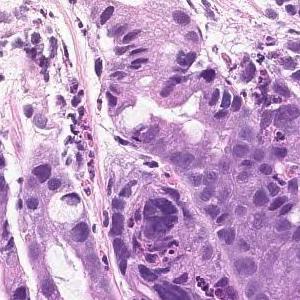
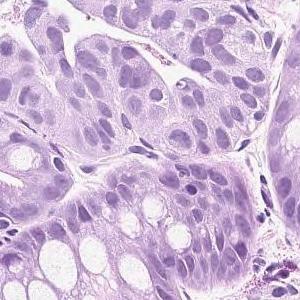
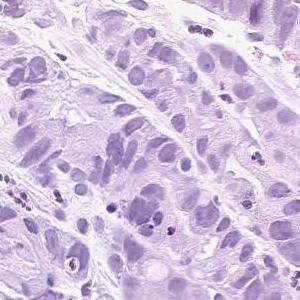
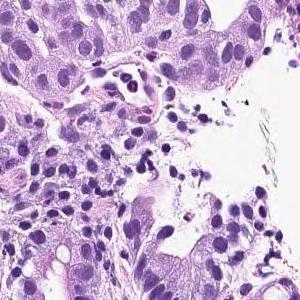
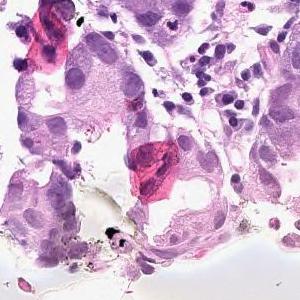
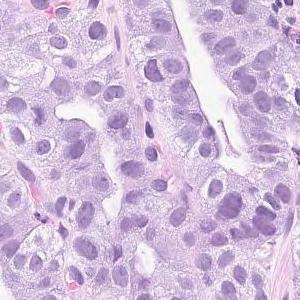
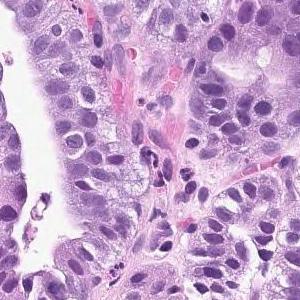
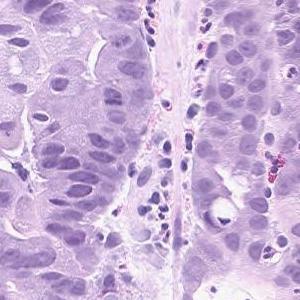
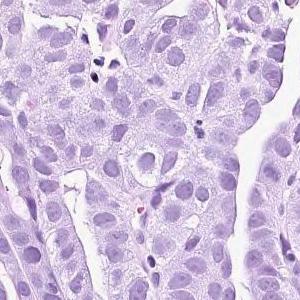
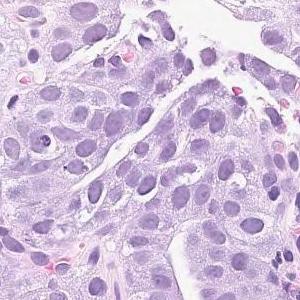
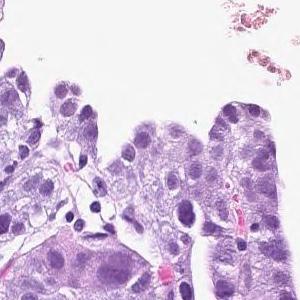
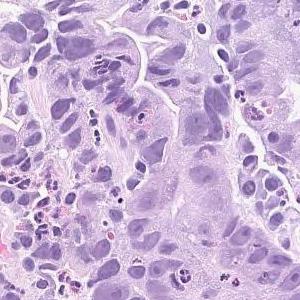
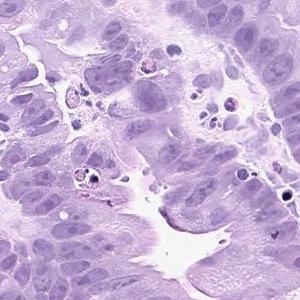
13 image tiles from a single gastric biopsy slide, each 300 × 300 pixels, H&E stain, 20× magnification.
The pathologist's report on the biopsy slide these tiles were taken from. The report describes the whole slide, diagnosis included: not every finding it names need appear in these tiles, which may also show non-tumor tissue.
Infiltrating tumor tissue is observed in the superficial epithelium, showing large papillary structures or large and small ducts. Papillary adenocarcinoma
